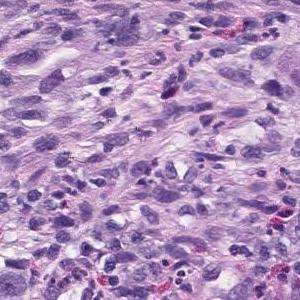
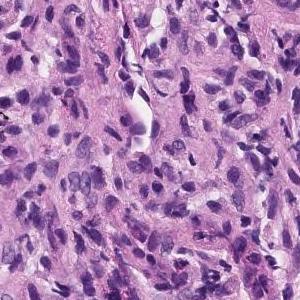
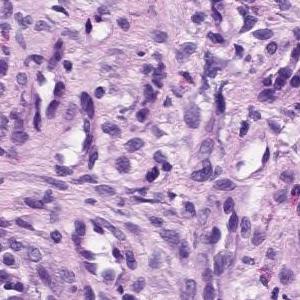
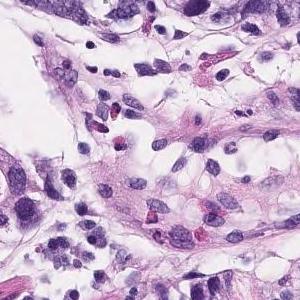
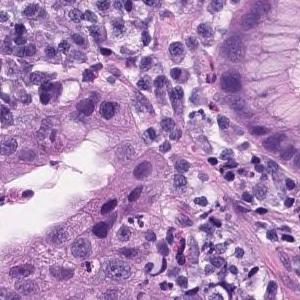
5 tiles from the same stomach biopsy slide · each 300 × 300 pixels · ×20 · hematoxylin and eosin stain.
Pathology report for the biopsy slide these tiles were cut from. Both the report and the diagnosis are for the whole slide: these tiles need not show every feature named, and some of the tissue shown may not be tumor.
Group 5, Adenocarcinoma. Moderately to poorly differentiated adenocarcinoma
